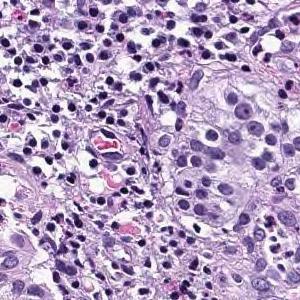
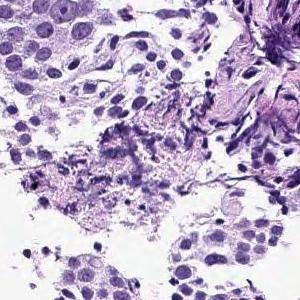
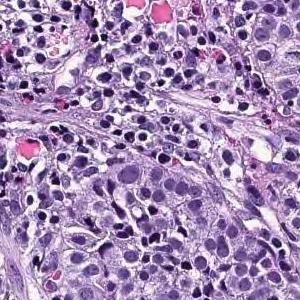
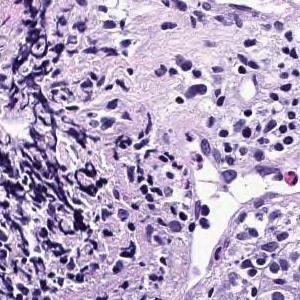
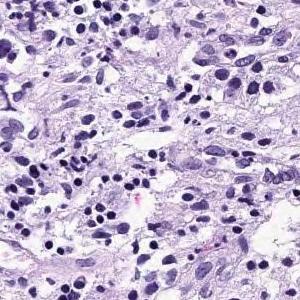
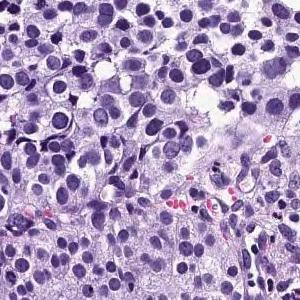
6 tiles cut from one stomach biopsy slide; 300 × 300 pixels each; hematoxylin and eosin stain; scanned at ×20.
Pathology report for the biopsy slide these tiles were cut from. The report describes the whole slide, diagnosis included: not every finding it names need appear in these tiles, which may also show non-tumor tissue.
Large sheet-like or diffusely infiltrating tumor tissue is found in the superficial epithelium. Poorly differentiated adenocarcinoma, solid-type
Subtype: Poorly differentiated adenocarcinoma, solid type (Japanese Classification of Gastric Carcinoma). The WHO 2019 equivalent is tubular adenocarcinoma, poorly differentiated.
